14 image tiles from a single gastric biopsy slide, each 300 × 300 pixels, 20× magnification, H&E stain.
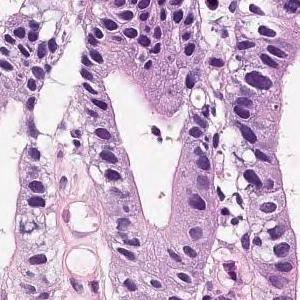
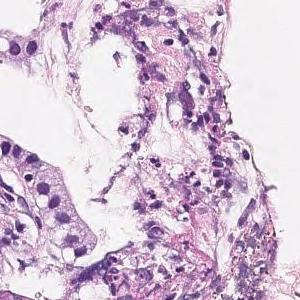
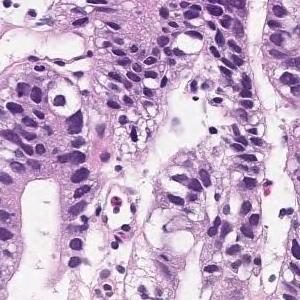
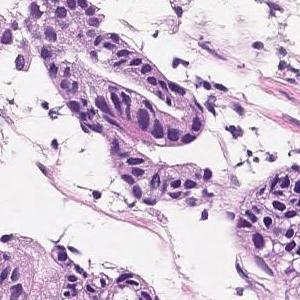
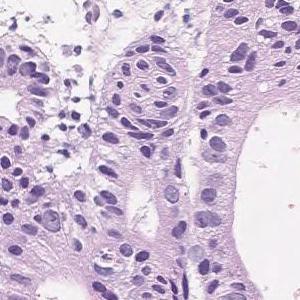
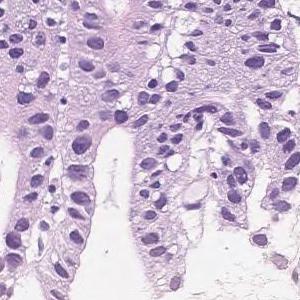
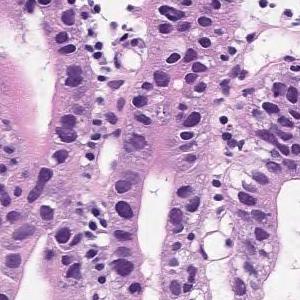
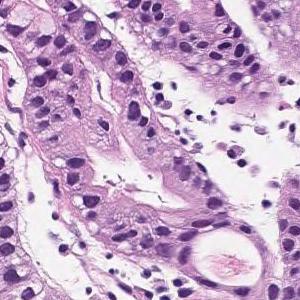
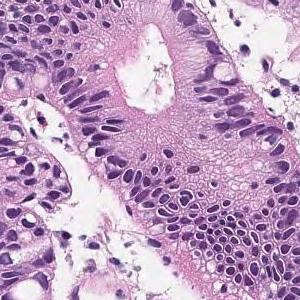
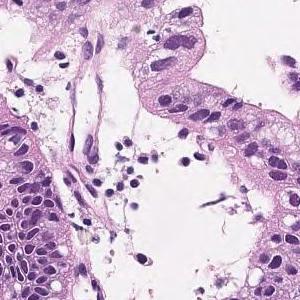
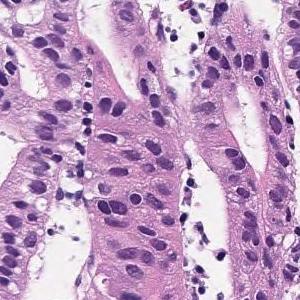
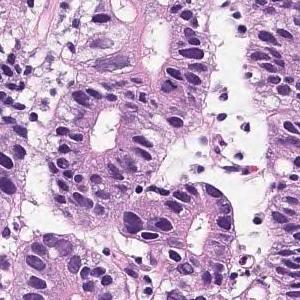
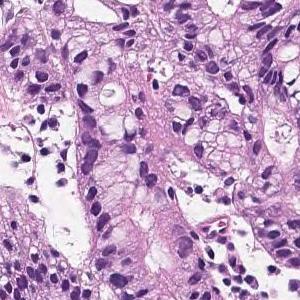
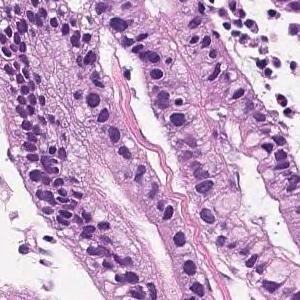
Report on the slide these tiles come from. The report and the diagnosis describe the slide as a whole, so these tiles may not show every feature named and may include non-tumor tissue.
On the superficial epithelium, tumor tissue that infiltrates by forming medium-sized papillary or small irregular ducts is observed. Papillary adenocarcinoma
